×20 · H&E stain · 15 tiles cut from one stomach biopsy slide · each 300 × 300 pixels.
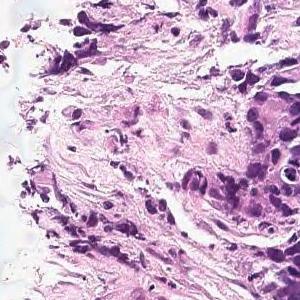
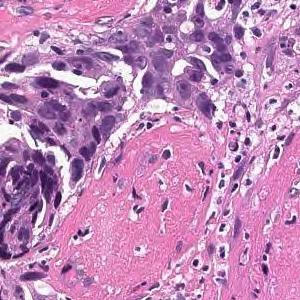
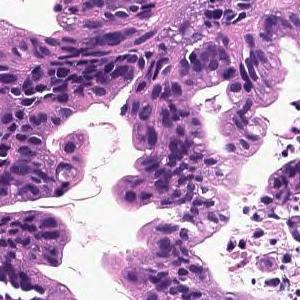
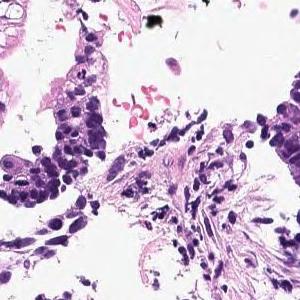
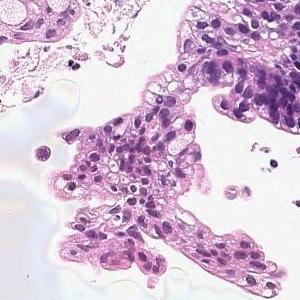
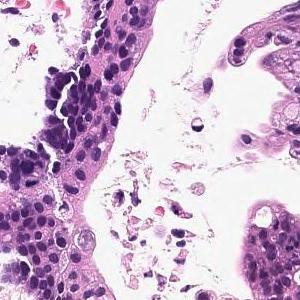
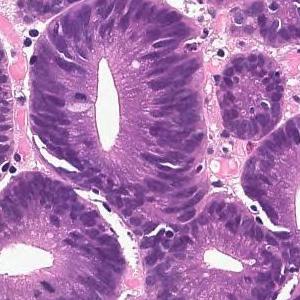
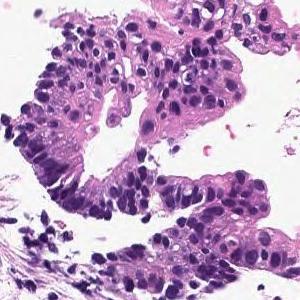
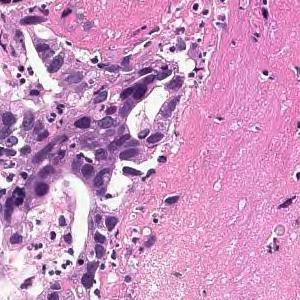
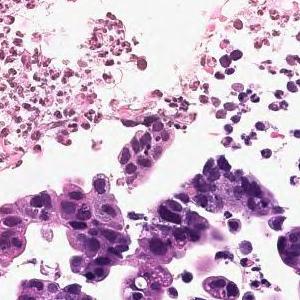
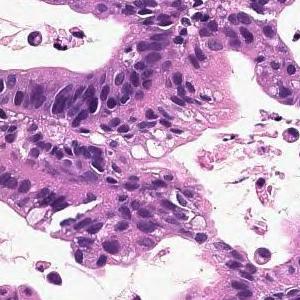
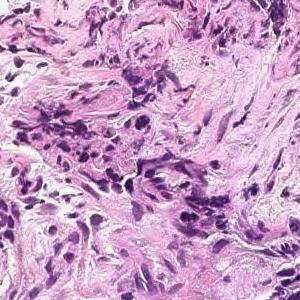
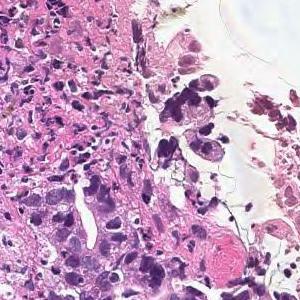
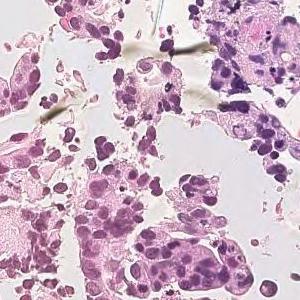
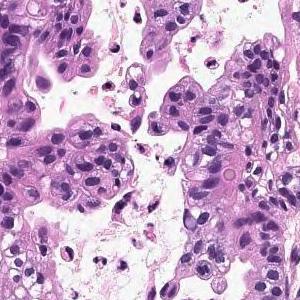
Report on the slide these tiles come from. The findings and the diagnosis refer to the entire slide; these tiles show only part of it, possibly with non-tumor tissue, and may not show every feature named.
In the superficial epithelium, tumor tissue that invades by forming medium-sized to small, irregular ducts is observed. moderately differentiated tubular adenocarcinoma.
